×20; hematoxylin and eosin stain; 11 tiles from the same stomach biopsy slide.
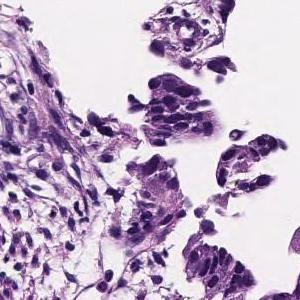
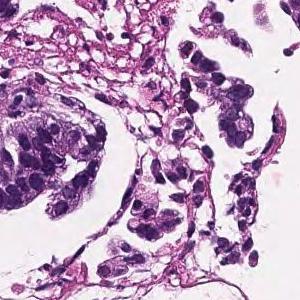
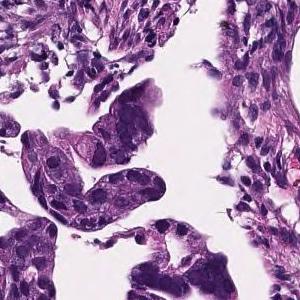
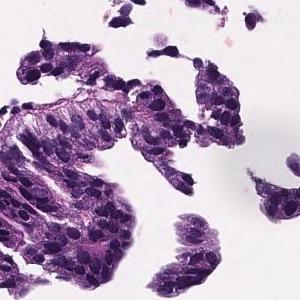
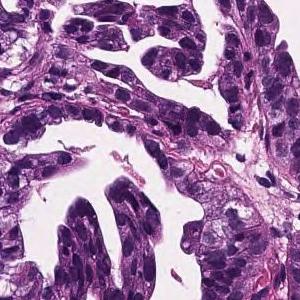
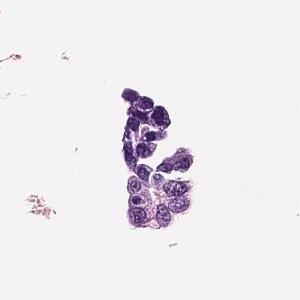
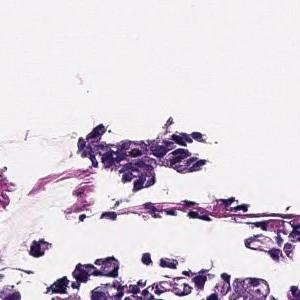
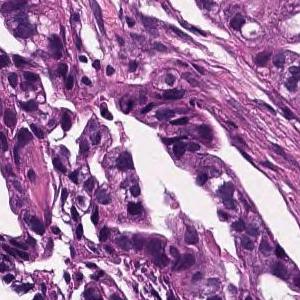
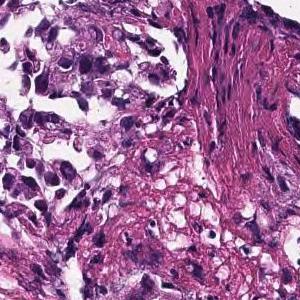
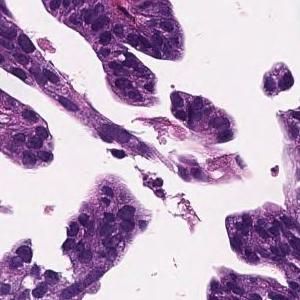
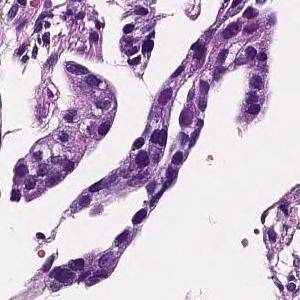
Report on the slide these tiles come from. The report and the diagnosis describe the slide as a whole, so these tiles may not show every feature named and may include non-tumor tissue.
In the lamina propria, tumor tissue that invades by forming medium-sized to small, irregular glandular ducts is observed. moderately differentiated tubular adenocarcinoma
